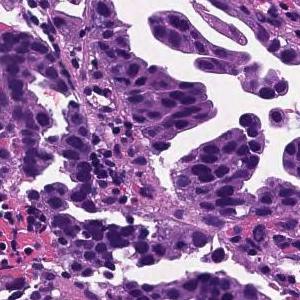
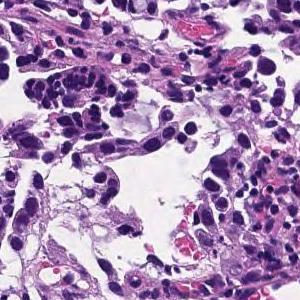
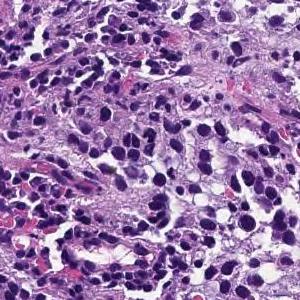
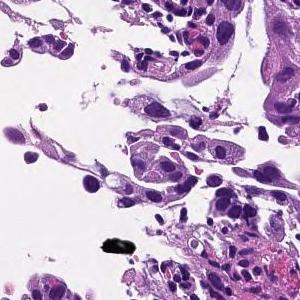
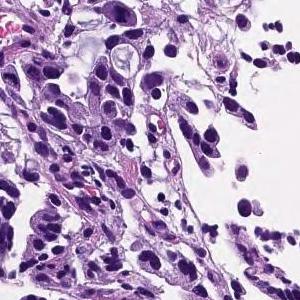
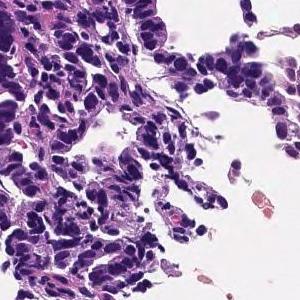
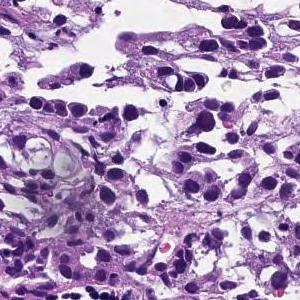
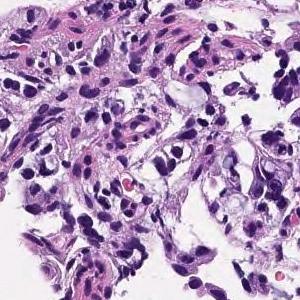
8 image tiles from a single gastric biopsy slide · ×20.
Diagnostic report for the slide these tiles come from. The report and the diagnosis cover the entire slide, so not every feature they name need be visible here, and some tissue shown may not be tumor.
Tumor tissue consisting of medium-sized, cord-like or irregular glandular infiltration is observed in the superficial epithelium. Poorly differentiated adenocarcinoma, non-solid type or moderately differentiated tubular adenocarcinoma
Histologic type: Moderately to poorly differentiated adenocarcinoma.
"Non-solid type" is a category of the Japanese Classification of Gastric Carcinoma.
